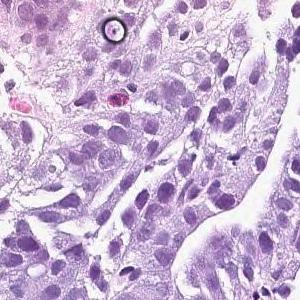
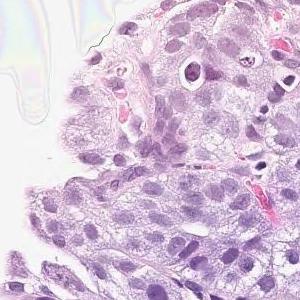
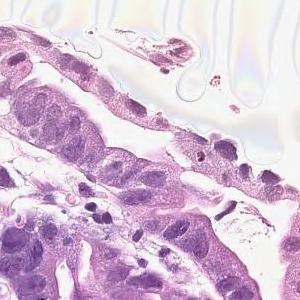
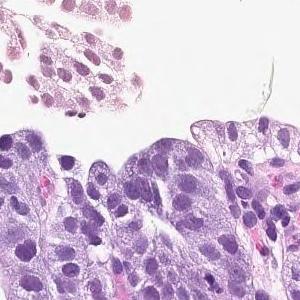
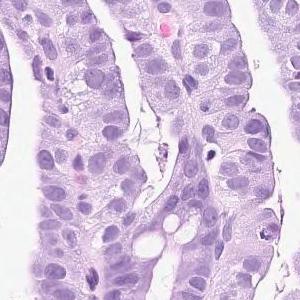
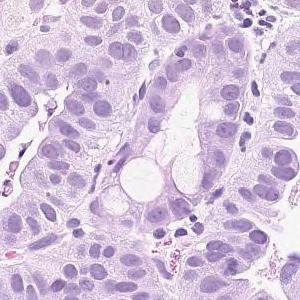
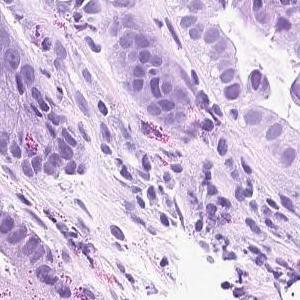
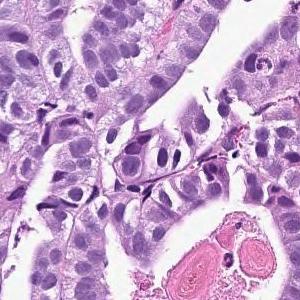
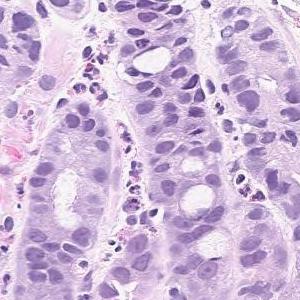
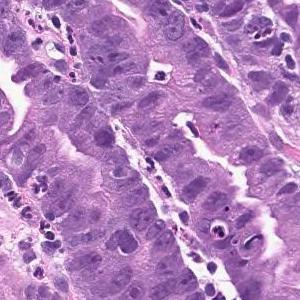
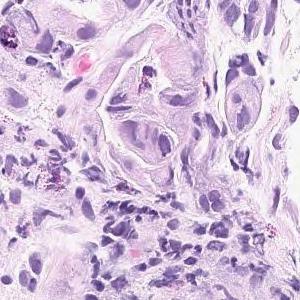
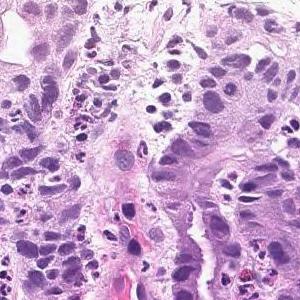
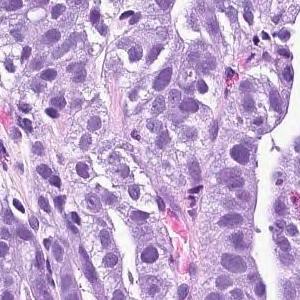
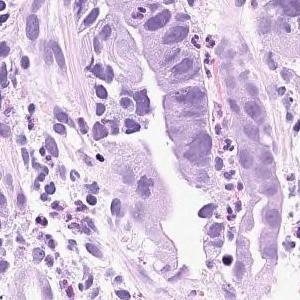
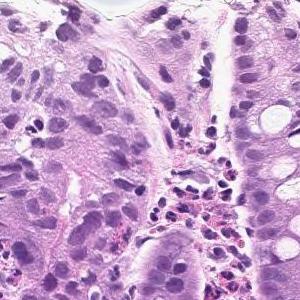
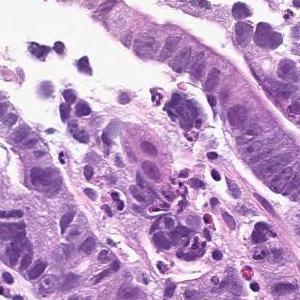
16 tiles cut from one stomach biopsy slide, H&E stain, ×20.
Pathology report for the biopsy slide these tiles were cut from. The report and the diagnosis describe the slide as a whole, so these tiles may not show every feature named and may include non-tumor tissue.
Infiltrating tumor tissue is observed in the superficial epithelium, showing large papillary structures or large and small ducts. Papillary adenocarcinoma
